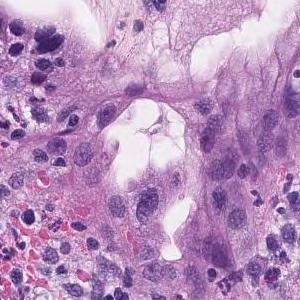
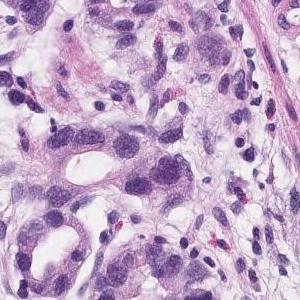
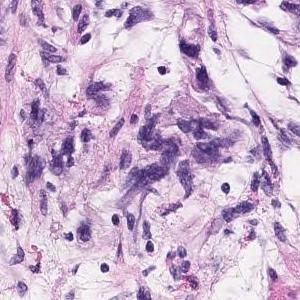
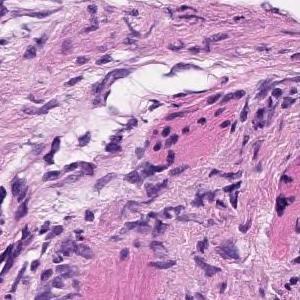
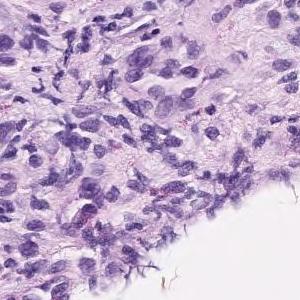
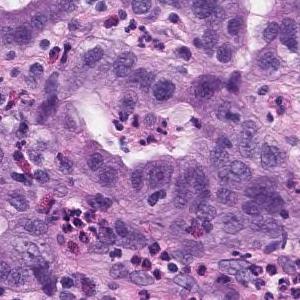
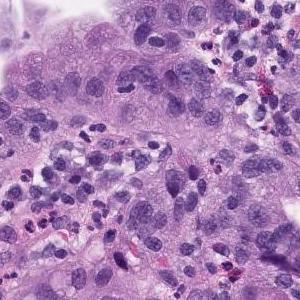
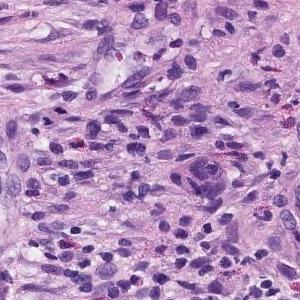
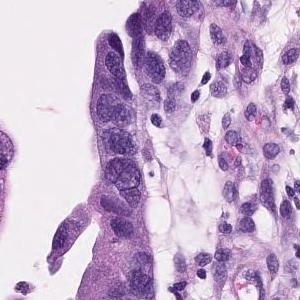
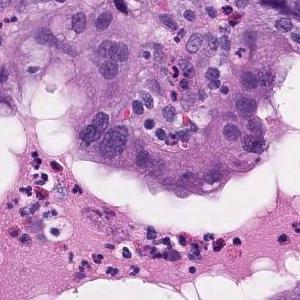
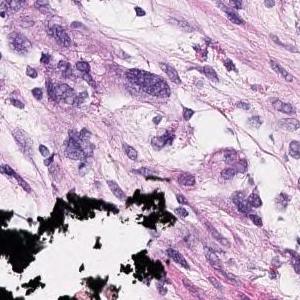
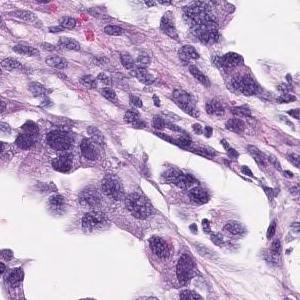
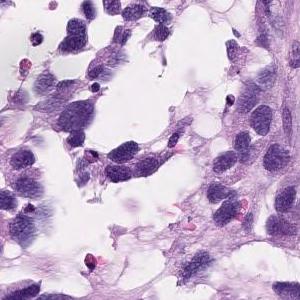
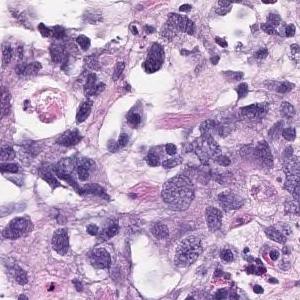
14 tiles cut from one stomach biopsy slide · H&E stain · 20× magnification.
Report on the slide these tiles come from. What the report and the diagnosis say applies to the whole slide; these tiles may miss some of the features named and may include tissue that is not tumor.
Group 5, Adenocarcinoma. Moderately to poorly differentiated adenocarcinoma
